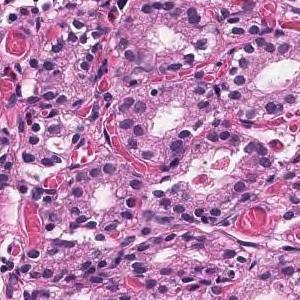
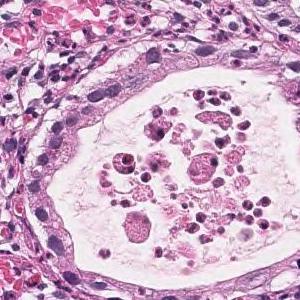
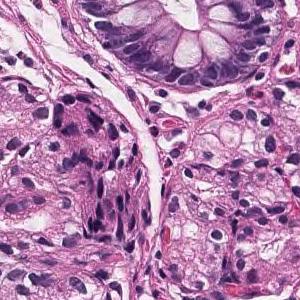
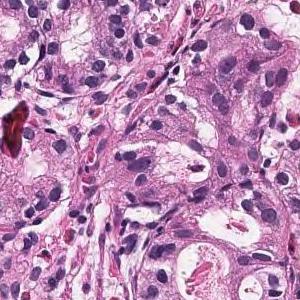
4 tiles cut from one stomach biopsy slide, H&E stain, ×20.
Report on the slide these tiles come from. The findings and the diagnosis refer to the entire slide; these tiles show only part of it, possibly with non-tumor tissue, and may not show every feature named.
On the superficial epithelium, tumor tissue consisting of large, irregular glandular ducts partially fused and infiltrated is observed. Well differentiated tubular adenocarcinoma
